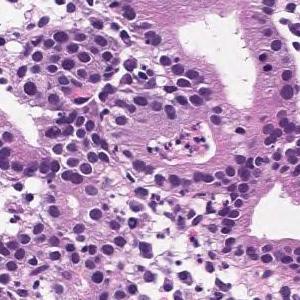
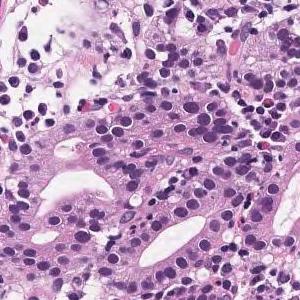
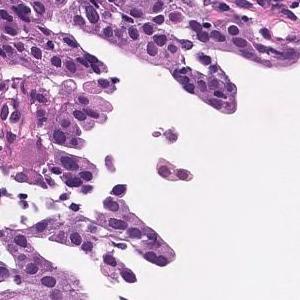
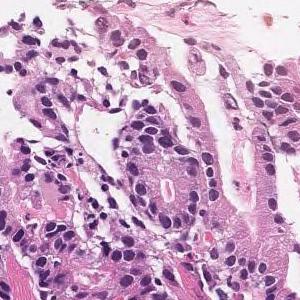
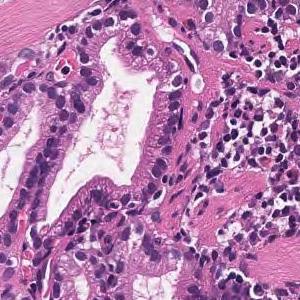
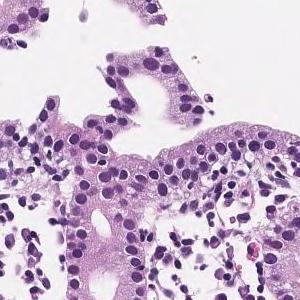
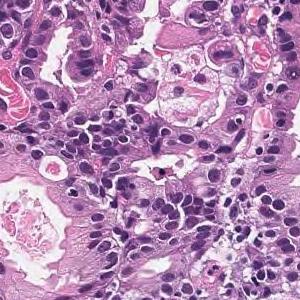
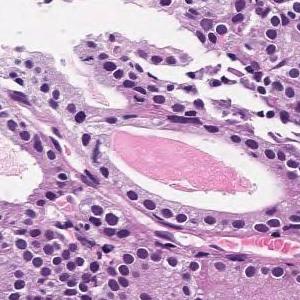
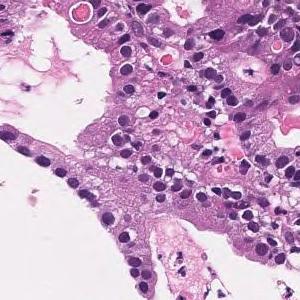
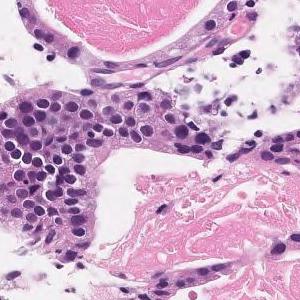
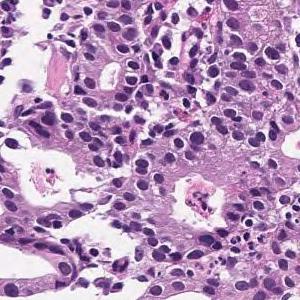
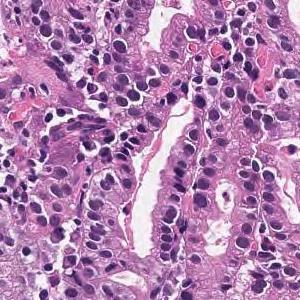
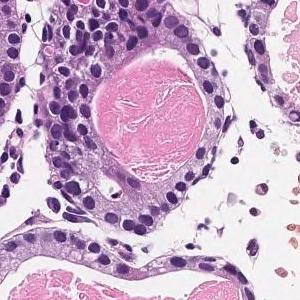
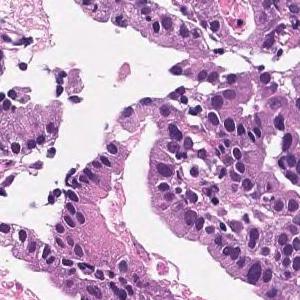
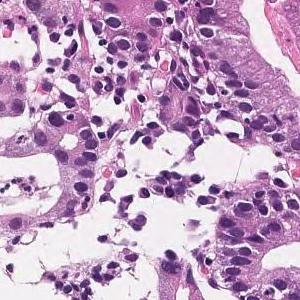
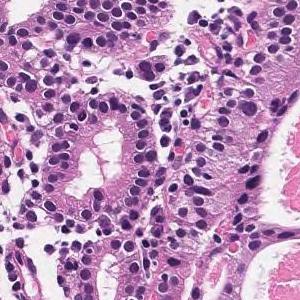
20× magnification; 16 tiles cut from one stomach biopsy slide; 300 × 300 pixels each.
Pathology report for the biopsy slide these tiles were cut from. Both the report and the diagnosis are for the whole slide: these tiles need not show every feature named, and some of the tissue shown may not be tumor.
Medium to small, irregular glandular ducts are formed in the superficial epithelium, and in some cases, the glandular ducts are fused to show solid alveolar lesions and infiltrating tumor tissue is observed. Moderately to poorly differentiated adenocarcinoma.
